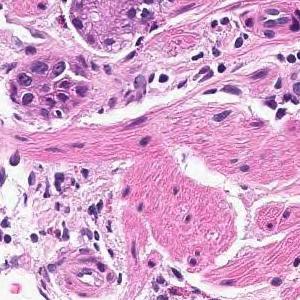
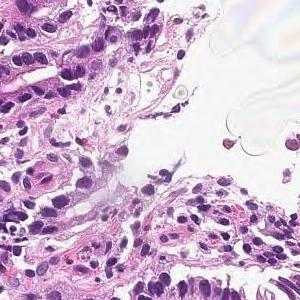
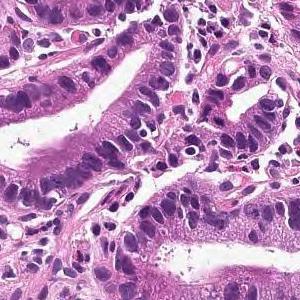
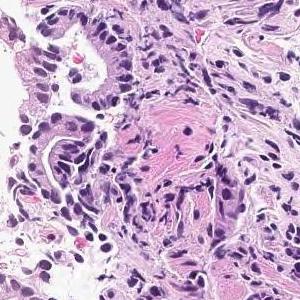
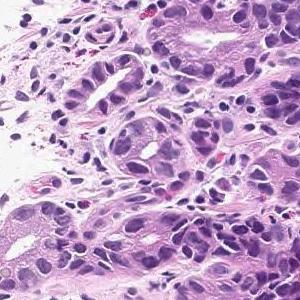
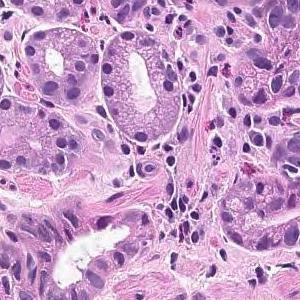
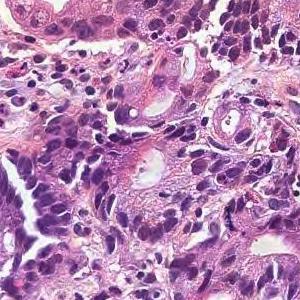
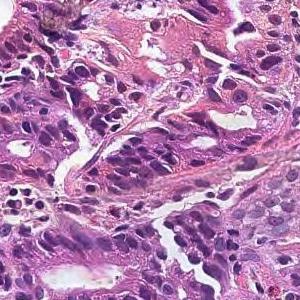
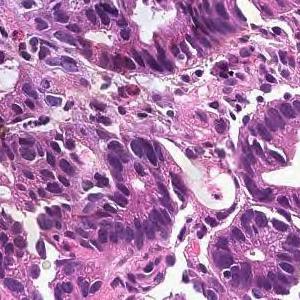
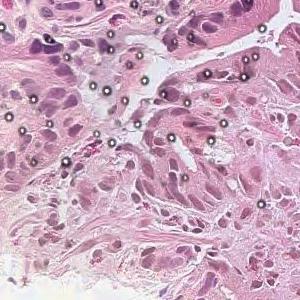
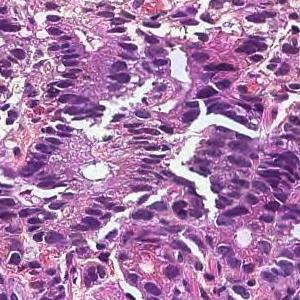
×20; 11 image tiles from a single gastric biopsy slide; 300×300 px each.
The pathologist's report on the biopsy slide these tiles were taken from. Both the report and the diagnosis are for the whole slide: these tiles need not show every feature named, and some of the tissue shown may not be tumor.
In the superficial epithelium, tumor tissue that invades by forming medium-sized to small, irregular ducts is observed. moderately differentiated tubular adenocarcinoma.
